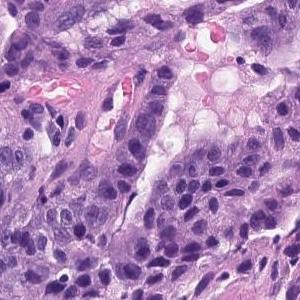
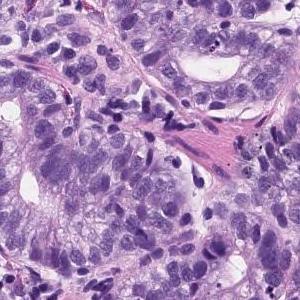
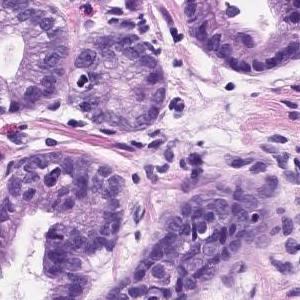
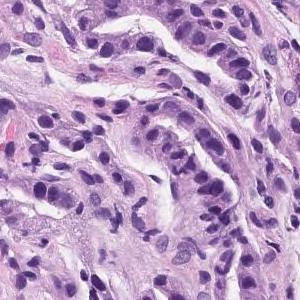
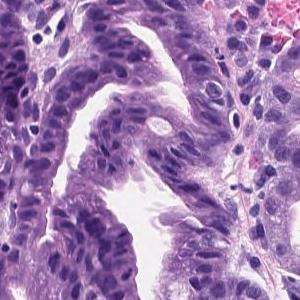
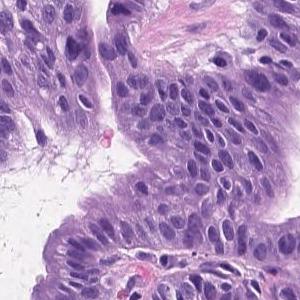
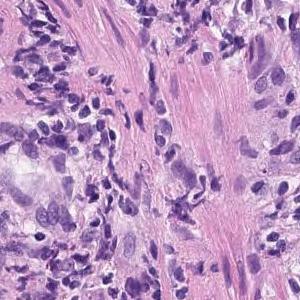
H&E; 7 tiles from the same stomach biopsy slide.
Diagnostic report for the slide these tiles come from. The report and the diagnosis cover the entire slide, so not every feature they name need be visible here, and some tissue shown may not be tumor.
Tumor tissue consisting of medium-sized and irregular ducts is observed infiltrating in the superficial epithelium. Tumor cells are highly columnar, with nuclei aligned basolaterally and polarized. Well differentiated tubular adenocarcinoma.
